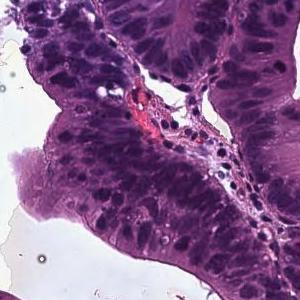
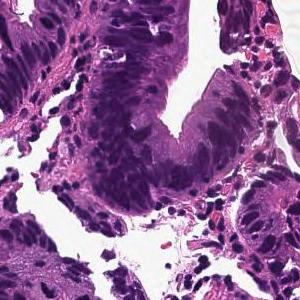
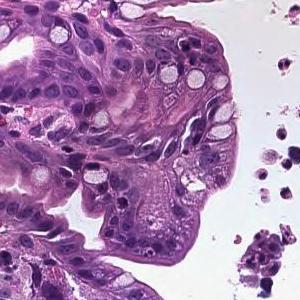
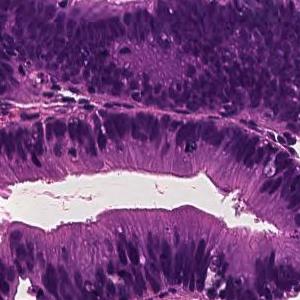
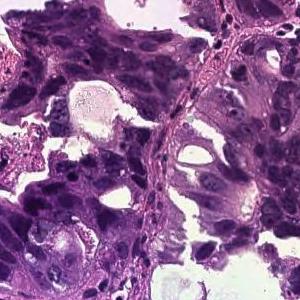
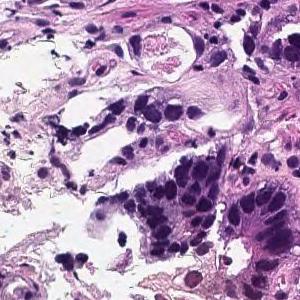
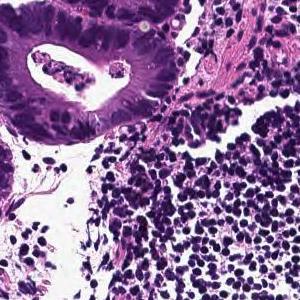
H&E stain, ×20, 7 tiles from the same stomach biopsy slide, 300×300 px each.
Pathology report for the biopsy slide these tiles were cut from. The report and the diagnosis cover the entire slide, so not every feature they name need be visible here, and some tissue shown may not be tumor.
In the superficial epithelium, tumor tissue that invades by forming medium-sized to small, irregular ducts is observed. moderately differentiated tubular adenocarcinoma.
